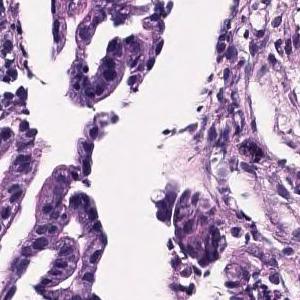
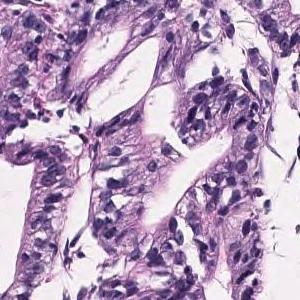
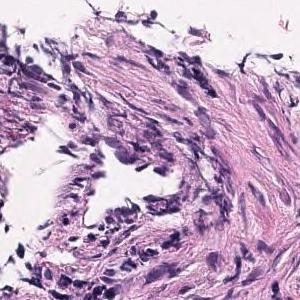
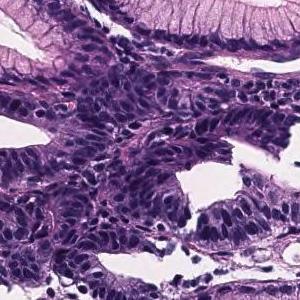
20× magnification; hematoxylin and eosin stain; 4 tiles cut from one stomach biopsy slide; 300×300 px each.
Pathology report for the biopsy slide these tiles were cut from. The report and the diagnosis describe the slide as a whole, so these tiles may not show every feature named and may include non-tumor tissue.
Tumor tissue in which highly columnar atypical epithelial cells with nuclear enlargement and increased nuclear chromatin show papillary to papillary ductal structure and proliferate is observed. Papillary adenocarcinoma.
